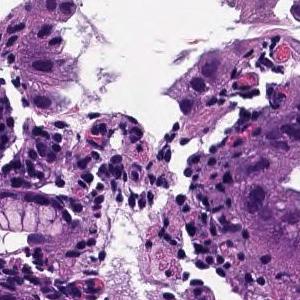
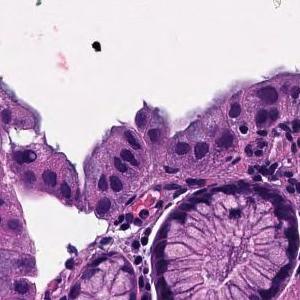
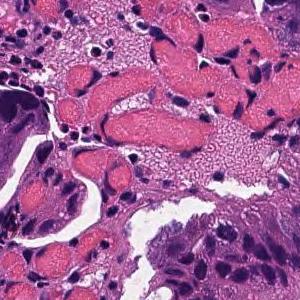
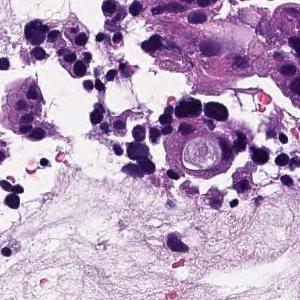
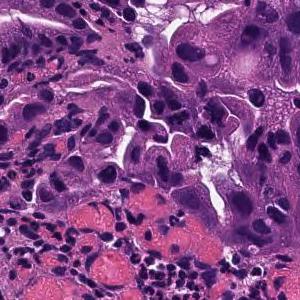
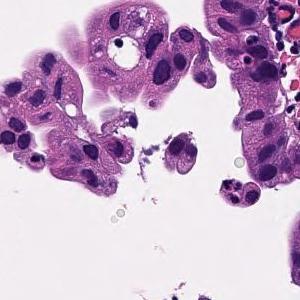
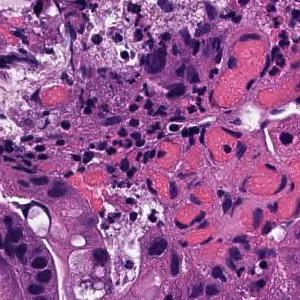
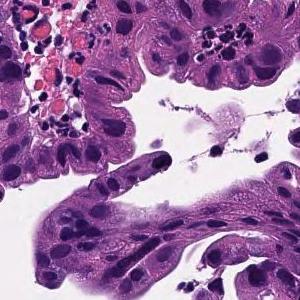
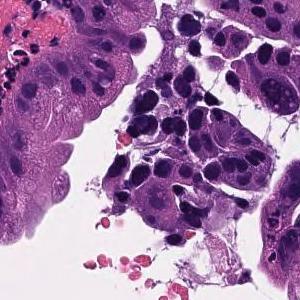
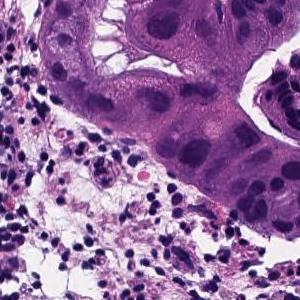
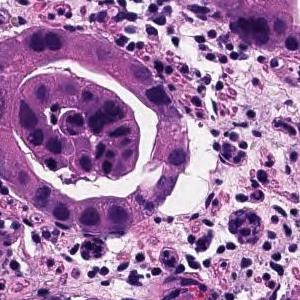
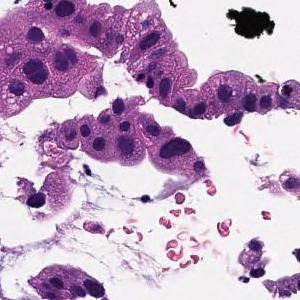
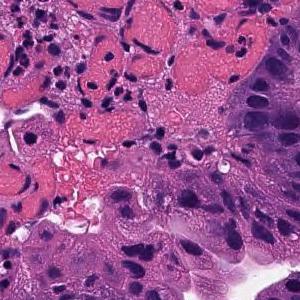
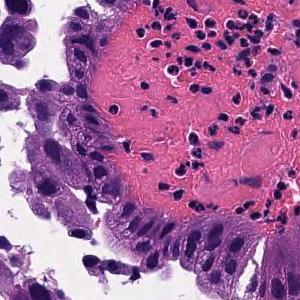
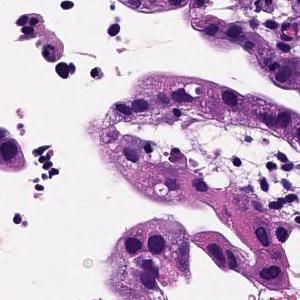
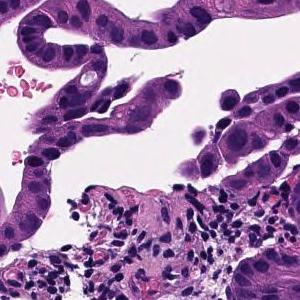
×20, hematoxylin and eosin stain, 16 image tiles from a single gastric biopsy slide, 300×300 px each.
Report on the slide these tiles come from. The report and the diagnosis cover the entire slide, so not every feature they name need be visible here, and some tissue shown may not be tumor.
Tumor tissue consisting of large papillary structures is found in the superficial epithelium. Papillary adenocarcinoma.
